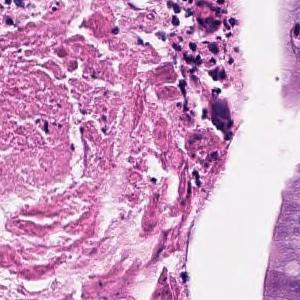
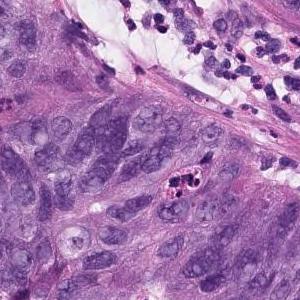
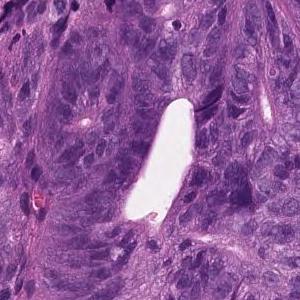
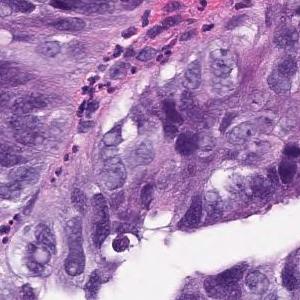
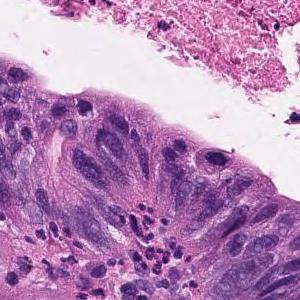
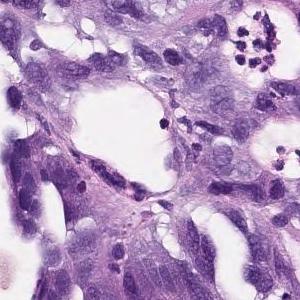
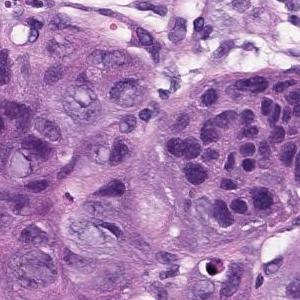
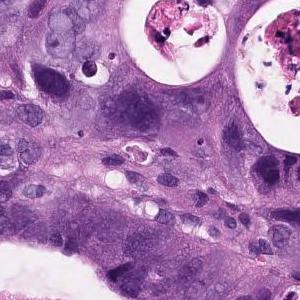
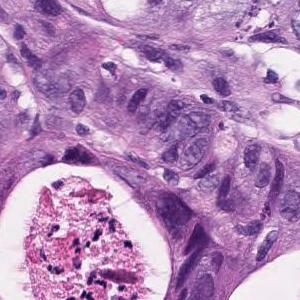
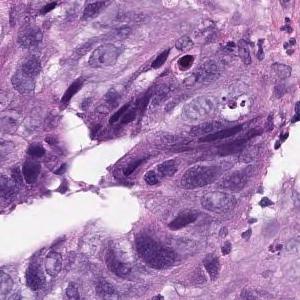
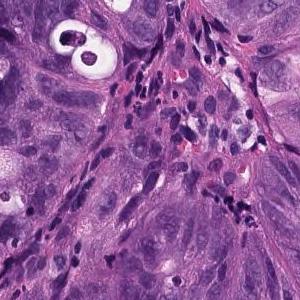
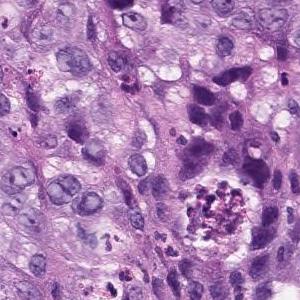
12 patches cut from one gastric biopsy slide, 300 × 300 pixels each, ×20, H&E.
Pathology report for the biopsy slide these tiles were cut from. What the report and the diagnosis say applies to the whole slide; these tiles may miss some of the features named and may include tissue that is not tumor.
In the superficial epithelium, tumor tissue that invades by forming medium-sized to small, irregular ducts is observed. Moderately differentiated adenocarcinoma.
Histological subtype: Moderately differentiated tubular adenocarcinoma.
